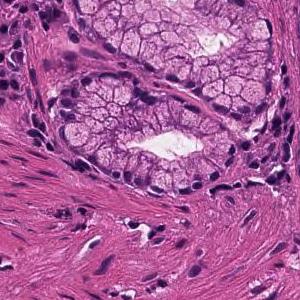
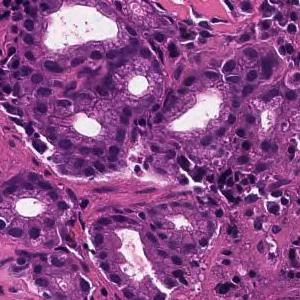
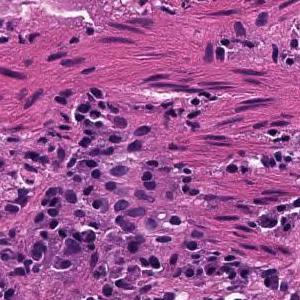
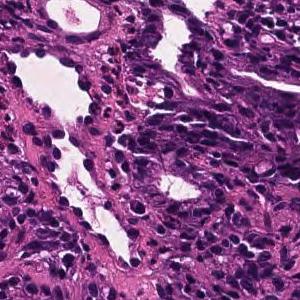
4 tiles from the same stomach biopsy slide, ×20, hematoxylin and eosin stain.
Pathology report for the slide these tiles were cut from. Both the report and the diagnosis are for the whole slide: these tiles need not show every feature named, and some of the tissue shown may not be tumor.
In the superficial epithelium, tumor tissue that invades by forming medium-sized to small, irregular ducts is observed. moderately differentiated tubular adenocarcinoma.
